H&E · 14 image tiles from a single gastric biopsy slide.
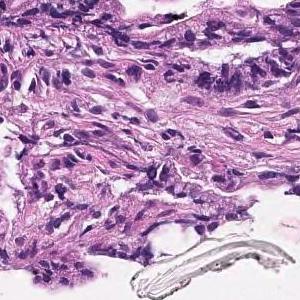
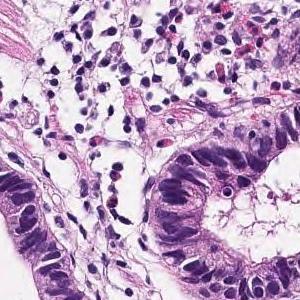
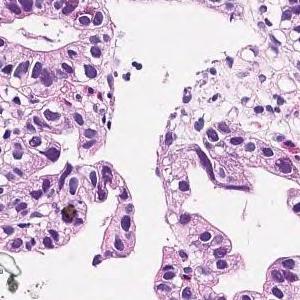
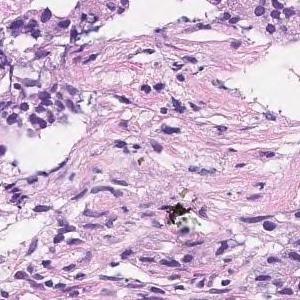
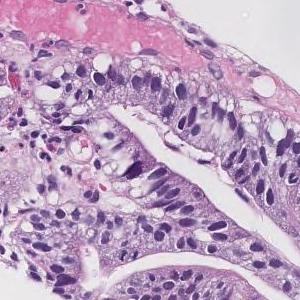
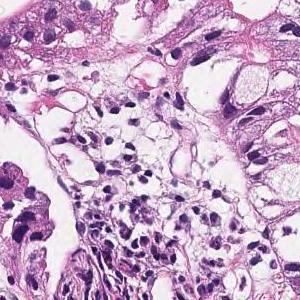
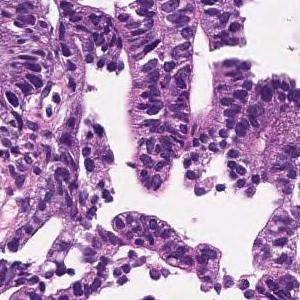
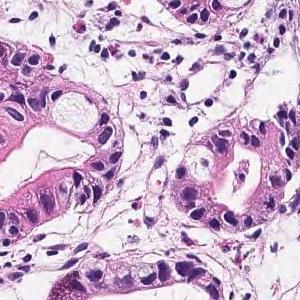
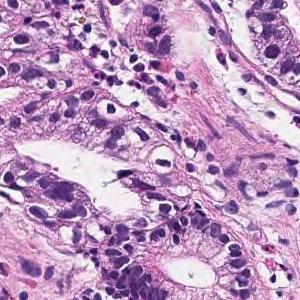
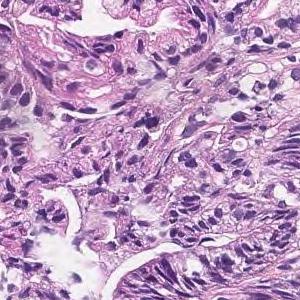
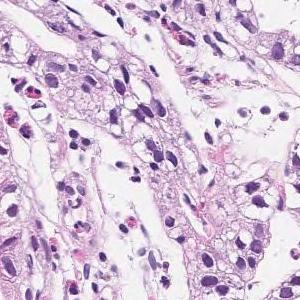
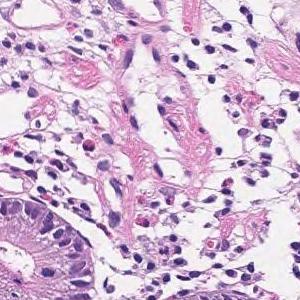
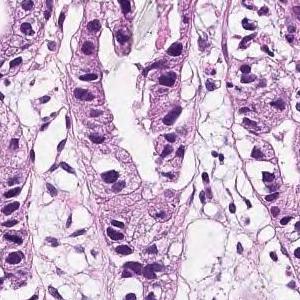
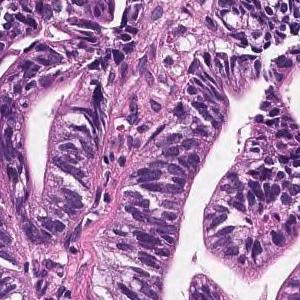
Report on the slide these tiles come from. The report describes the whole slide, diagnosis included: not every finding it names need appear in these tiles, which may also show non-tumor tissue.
In the superficial epithelium, tumor tissue that invades by forming medium-sized to small, irregular ducts is observed. Moderately differentiated adenocarcinoma.
Classified as moderately differentiated tubular adenocarcinoma.
